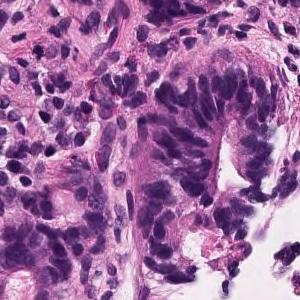
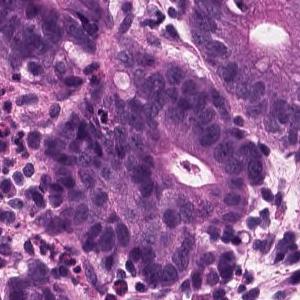
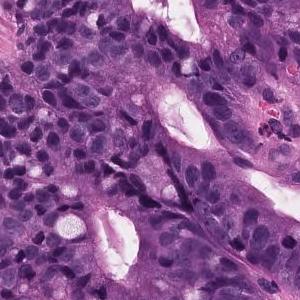
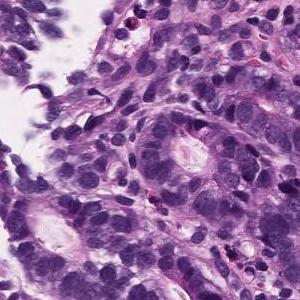
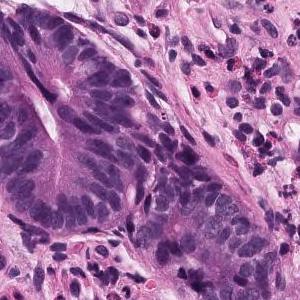
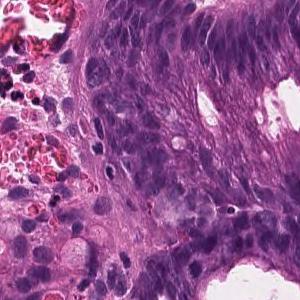
6 tiles cut from one stomach biopsy slide · hematoxylin and eosin stain.
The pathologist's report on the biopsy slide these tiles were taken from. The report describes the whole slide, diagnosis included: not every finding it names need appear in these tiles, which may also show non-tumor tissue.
Atypical ducts proliferating while irregularly fusing in the lateral direction is observed. Well differentiated tubular adenocarcinoma
